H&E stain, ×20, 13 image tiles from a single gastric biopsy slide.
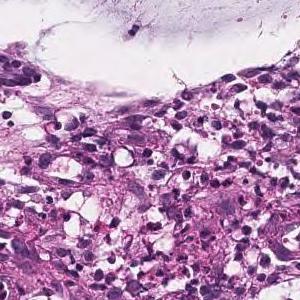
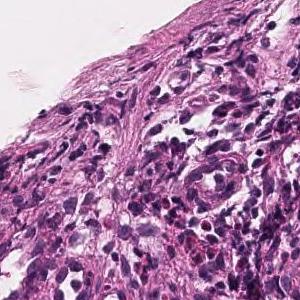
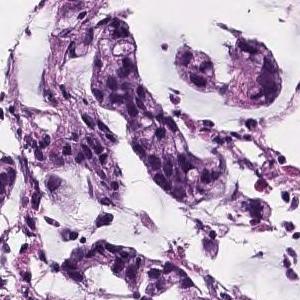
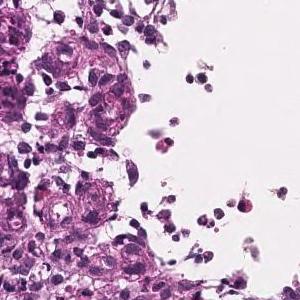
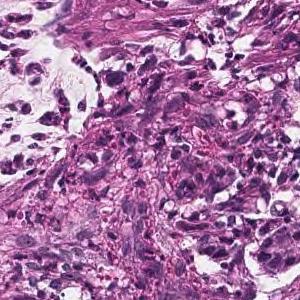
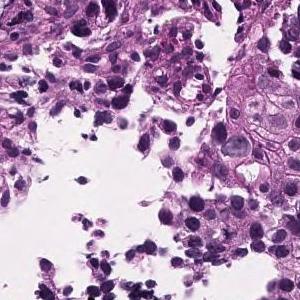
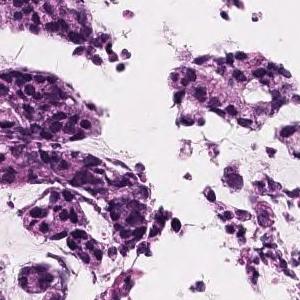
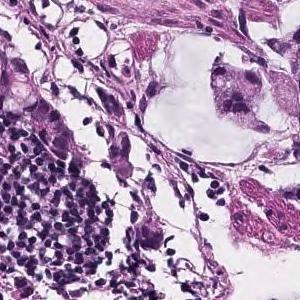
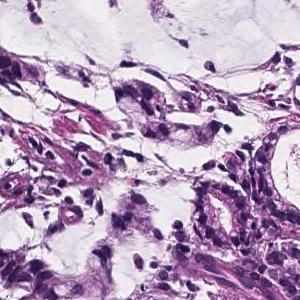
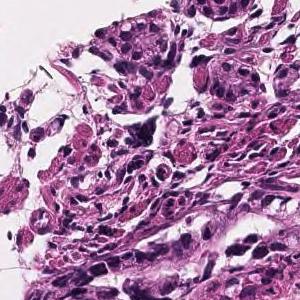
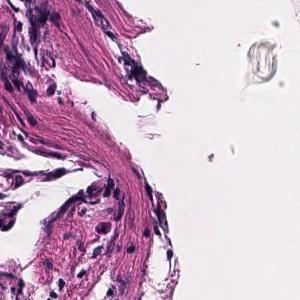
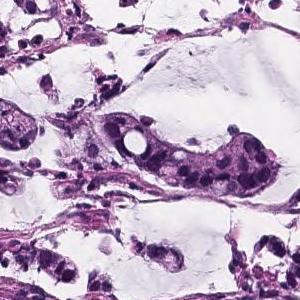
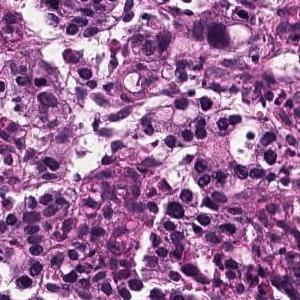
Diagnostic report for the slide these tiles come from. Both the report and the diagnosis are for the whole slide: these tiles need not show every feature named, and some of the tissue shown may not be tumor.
Atypical epithelial cells form obscure ductal structures or small solid follicles, and tumor tissue that proliferates invasively with proliferation of inflammatory granulation tissue is observed. Mucinous adenocarcinoma .
